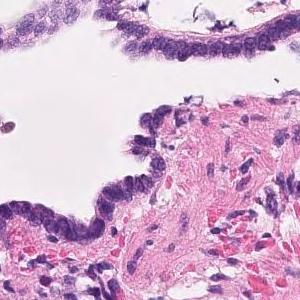
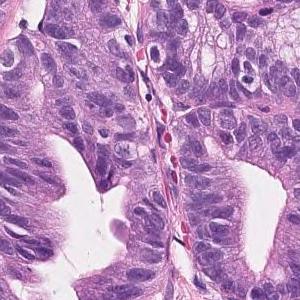
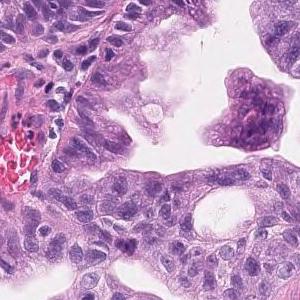
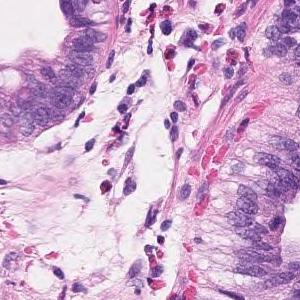
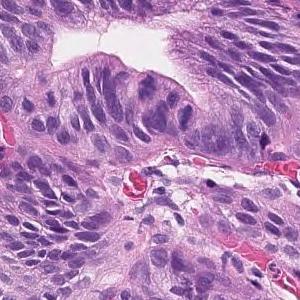
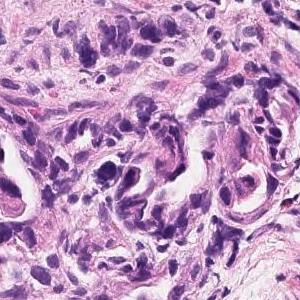
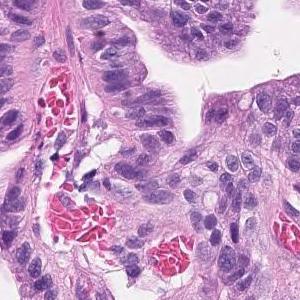
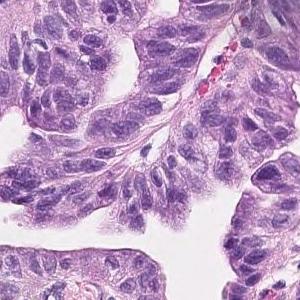
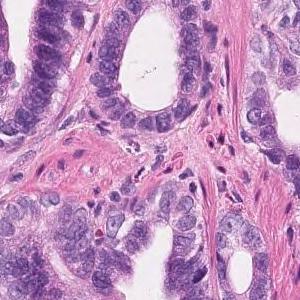
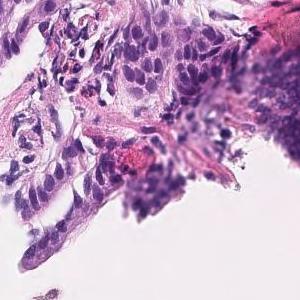
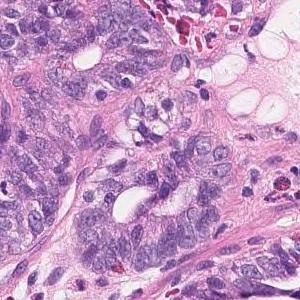
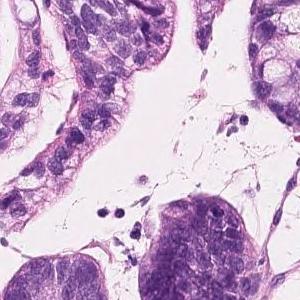
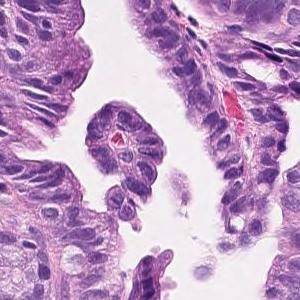
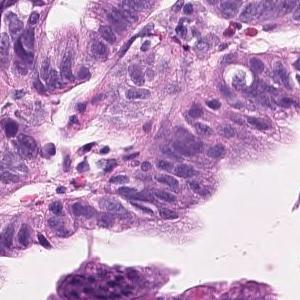
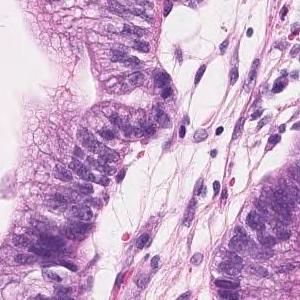
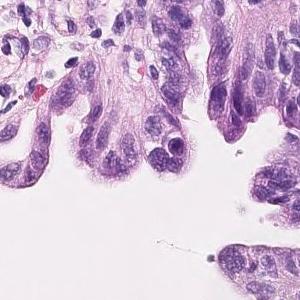
×20; 16 tiles from the same stomach biopsy slide.
Pathology report for the slide these tiles were cut from. Both the report and the diagnosis are for the whole slide: these tiles need not show every feature named, and some of the tissue shown may not be tumor.
Tumor cells are large, highly columnar, large club-shaped nuclei, and are associated with chromatin aggregation. Papillary adenocarcinoma.
